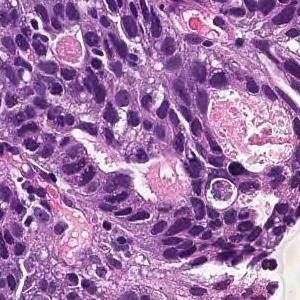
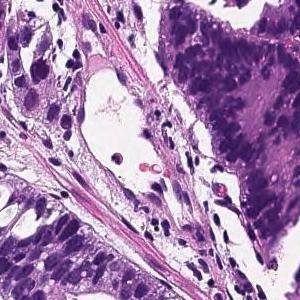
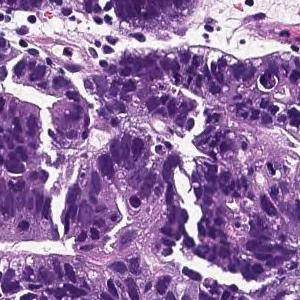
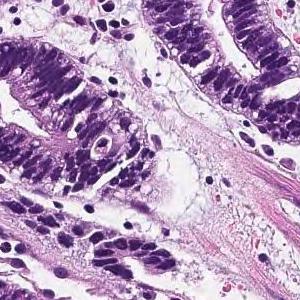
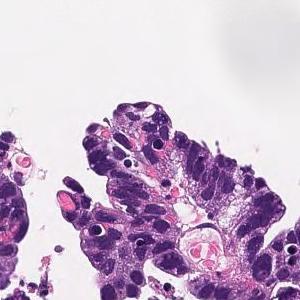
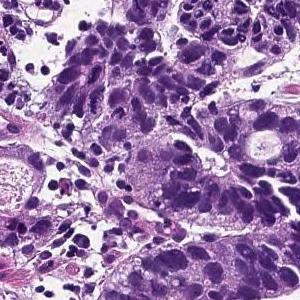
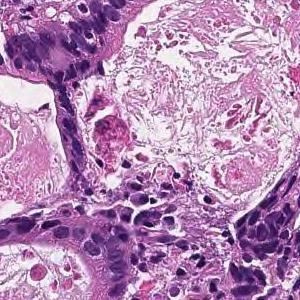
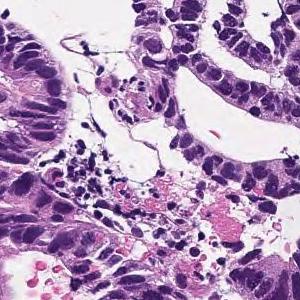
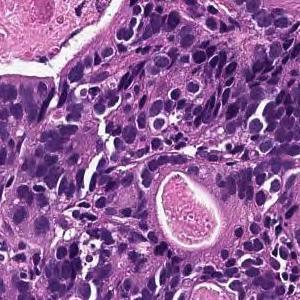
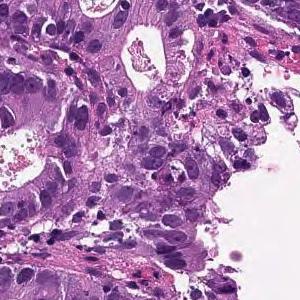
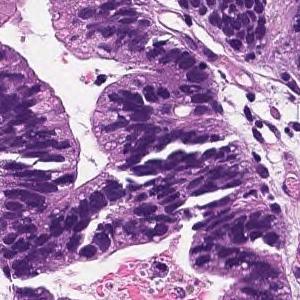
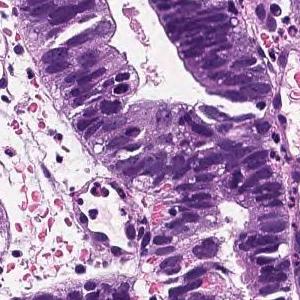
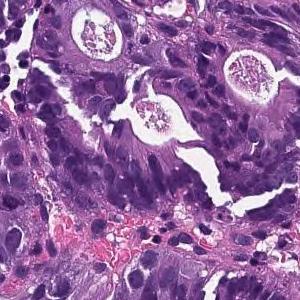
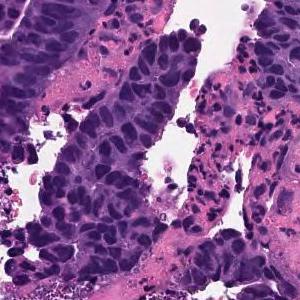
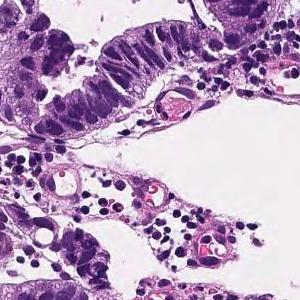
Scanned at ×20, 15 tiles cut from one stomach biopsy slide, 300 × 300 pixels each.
Pathology report for the slide these tiles were cut from. What the report and the diagnosis say applies to the whole slide; these tiles may miss some of the features named and may include tissue that is not tumor.
In the superficial epithelium, tumor tissue that invades by forming medium-sized to small, irregular ducts is observed. moderately differentiated tubular adenocarcinoma.
